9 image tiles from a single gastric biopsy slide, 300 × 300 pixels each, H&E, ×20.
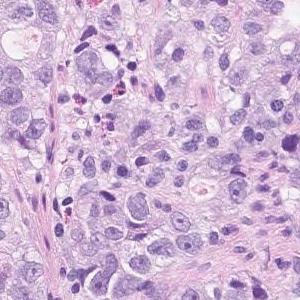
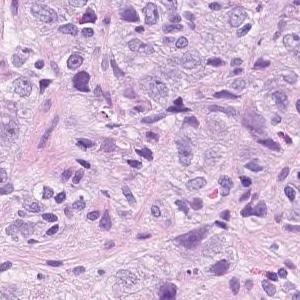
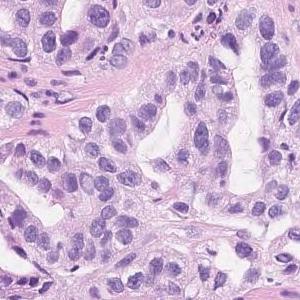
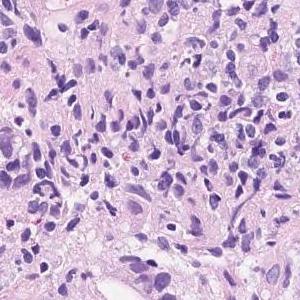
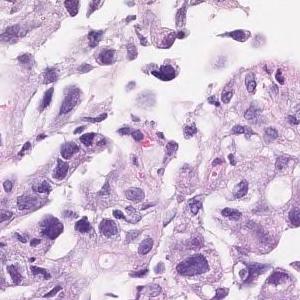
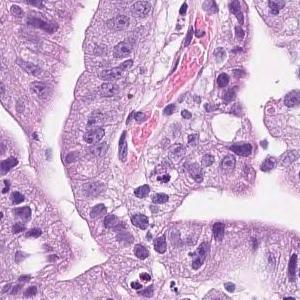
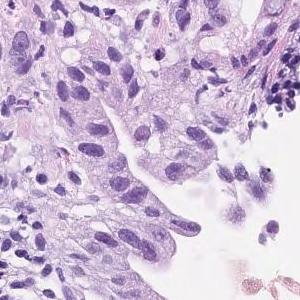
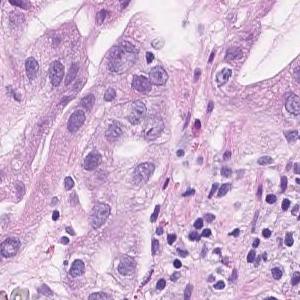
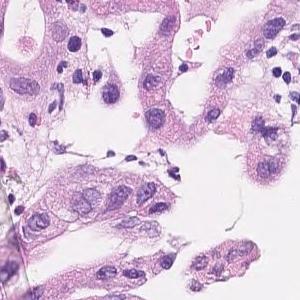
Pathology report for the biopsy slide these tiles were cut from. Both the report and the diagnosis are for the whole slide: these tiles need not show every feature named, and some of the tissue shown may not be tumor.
In the superficial epithelium, tumor tissue that invades by forming medium-sized to small, irregular ducts is observed. Moderately to poorly differentiated adenocarcinoma
